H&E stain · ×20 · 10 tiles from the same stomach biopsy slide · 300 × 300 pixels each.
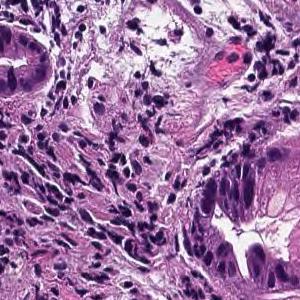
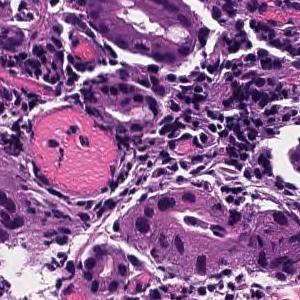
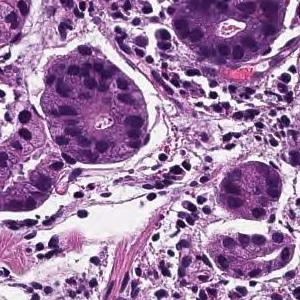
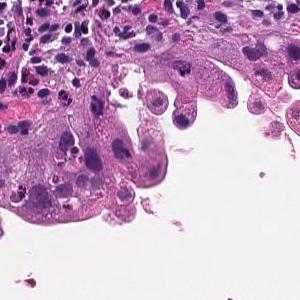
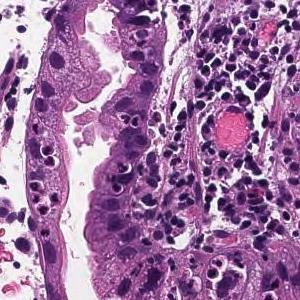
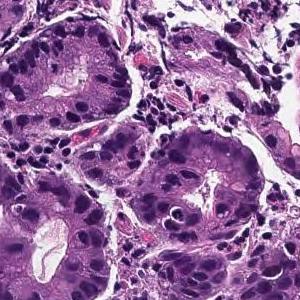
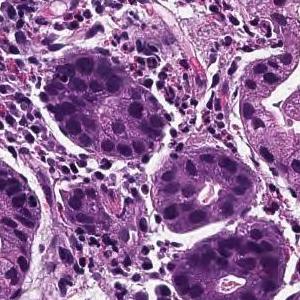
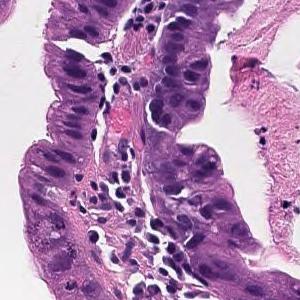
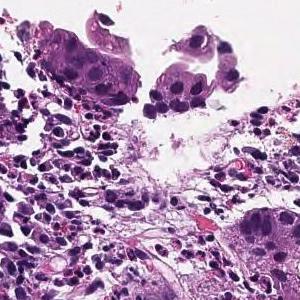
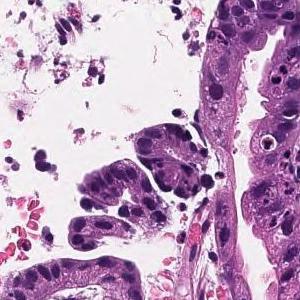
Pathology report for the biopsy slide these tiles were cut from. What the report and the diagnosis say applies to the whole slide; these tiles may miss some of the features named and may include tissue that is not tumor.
From the superficial epithelium to the muscularis mucosae, tumor tissue consisting of medium-sized and irregular glandular ducts infiltrating is observed. Well differentiated tubular adenocarcinoma
